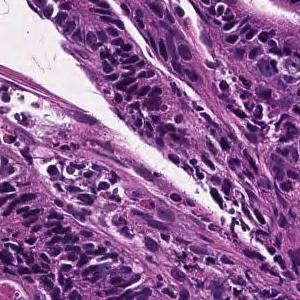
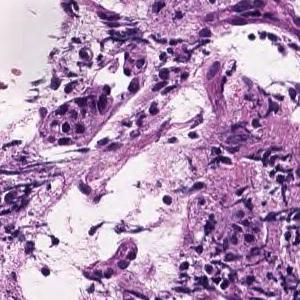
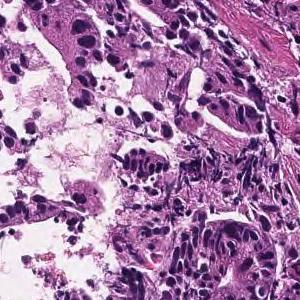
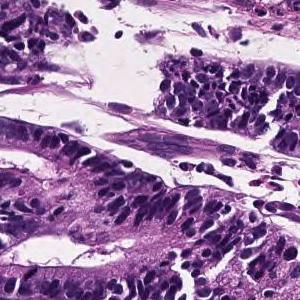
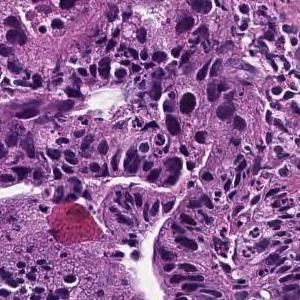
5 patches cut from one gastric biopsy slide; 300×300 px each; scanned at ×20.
The pathologist's report on the biopsy slide these tiles were taken from. Both the report and the diagnosis are for the whole slide: these tiles need not show every feature named, and some of the tissue shown may not be tumor.
On the superficial epithelium, tumor tissue consisting of large, irregular glandular ducts partially fused and infiltrated is observed. Well to moderately differentiated tubular adenocarcinoma (well differentiated tubular adenocarcinoma, moderately differentiated tubular adenocarcinoma)
Tumor subtype: well to moderately differentiated tubular adenocarcinoma.
